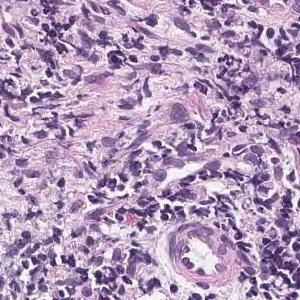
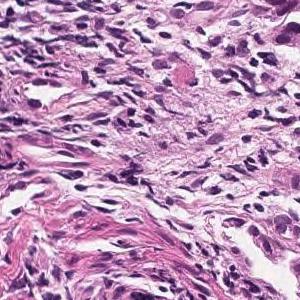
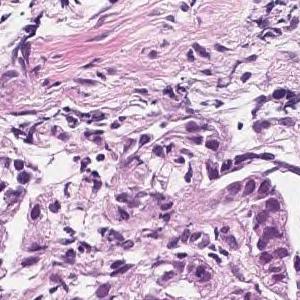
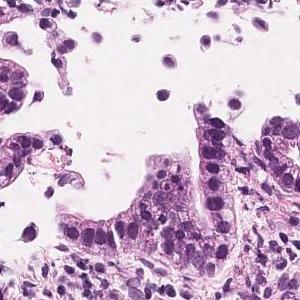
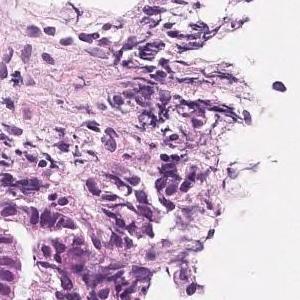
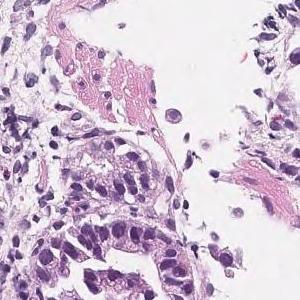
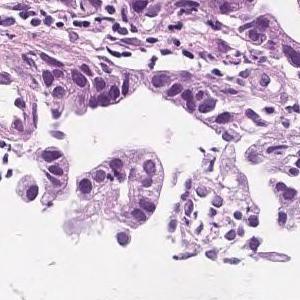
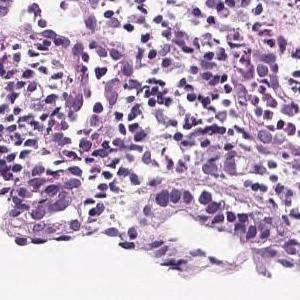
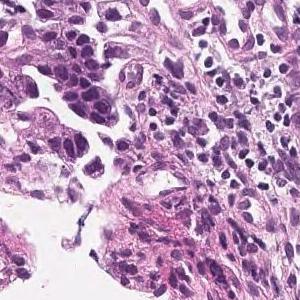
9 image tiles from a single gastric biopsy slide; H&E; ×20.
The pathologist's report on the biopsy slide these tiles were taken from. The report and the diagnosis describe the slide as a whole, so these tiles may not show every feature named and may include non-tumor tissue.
In the superficial epithelium, tumor tissue that invades by forming medium-sized to small, irregular ducts is observed. moderately differentiated tubular adenocarcinoma.
